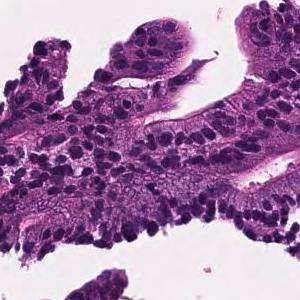
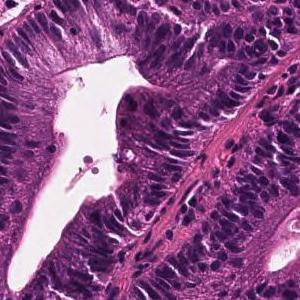
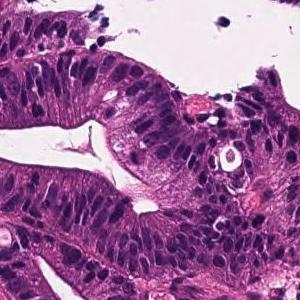
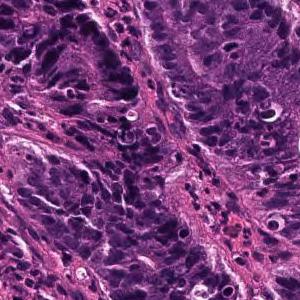
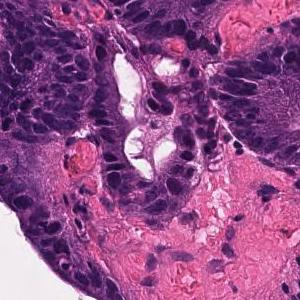
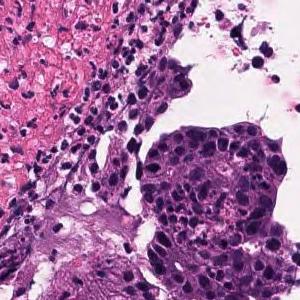
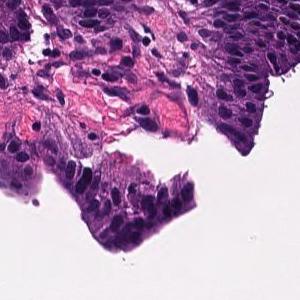
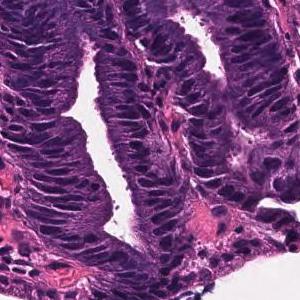
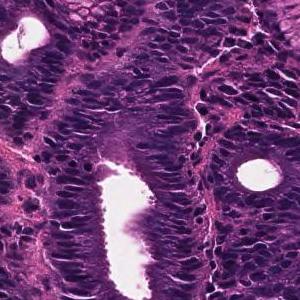
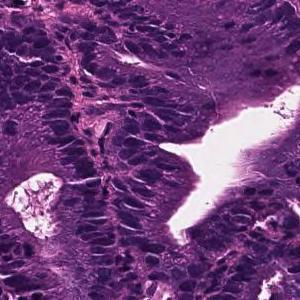
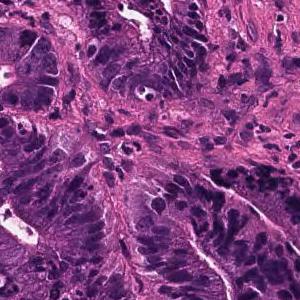
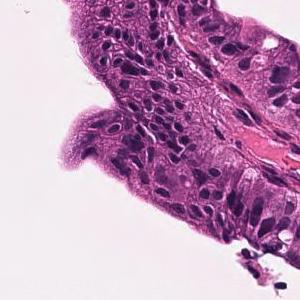
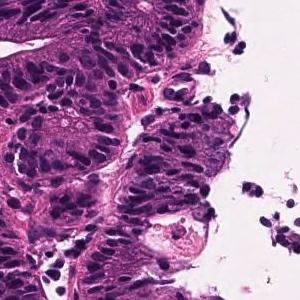
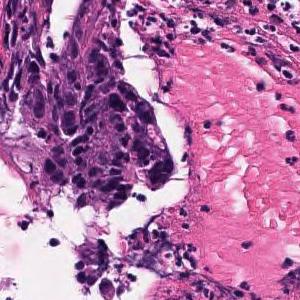
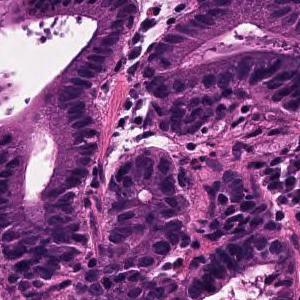
15 patches cut from one gastric biopsy slide, 300 × 300 pixels each, H&E, scanned at ×20.
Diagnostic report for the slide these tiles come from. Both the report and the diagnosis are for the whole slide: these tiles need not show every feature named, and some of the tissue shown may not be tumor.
Tumor tissue that remains within the superficial epithelium and is infiltrated by large papillary or irregular ducts that fuse with each other is observed. Well differentiated tubular adenocarcinoma
